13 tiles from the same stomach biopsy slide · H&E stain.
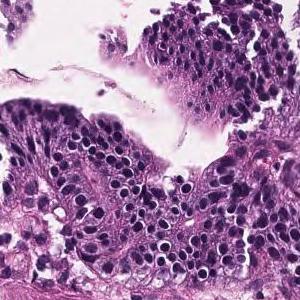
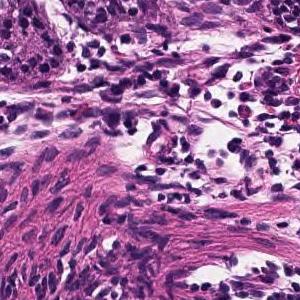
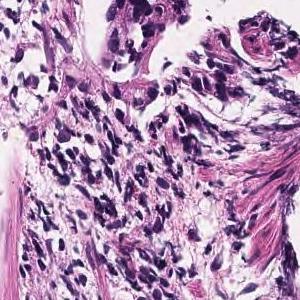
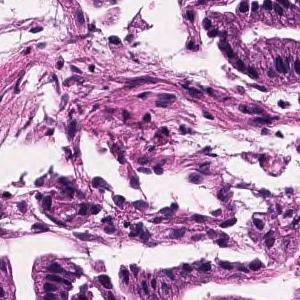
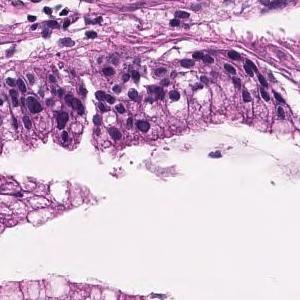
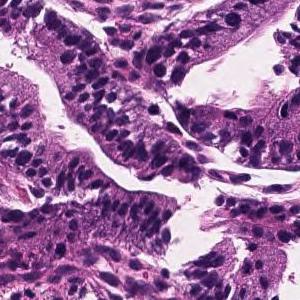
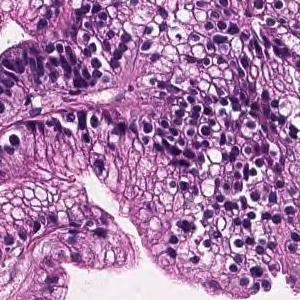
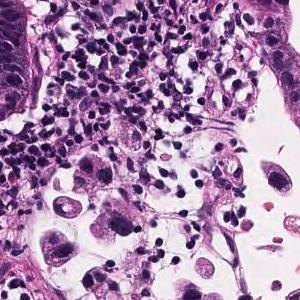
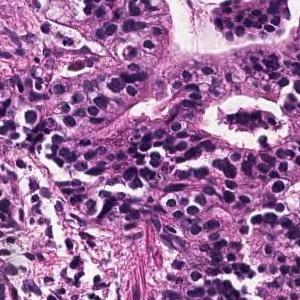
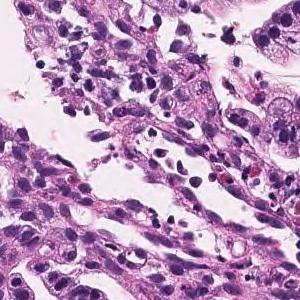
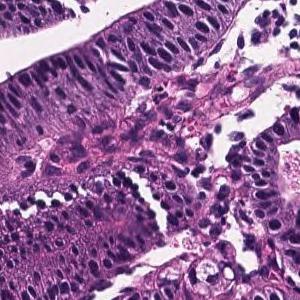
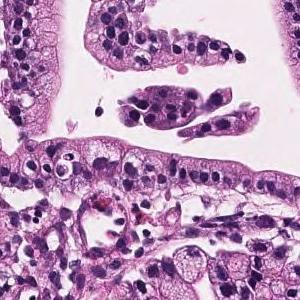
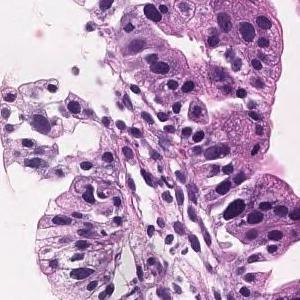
Report on the slide these tiles come from. The findings and the diagnosis refer to the entire slide; these tiles show only part of it, possibly with non-tumor tissue, and may not show every feature named.
Tumor tissue consisting of large papillary structures or irregular glandular ducts partially fused and infiltrated is observed in the superficial epithelium. Well to moderately differentiated tubular adenocarcinoma.
Labeled in the dataset as moderately differentiated tubular adenocarcinoma.
